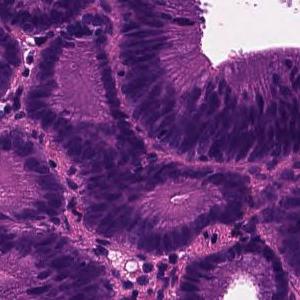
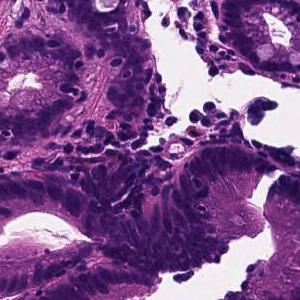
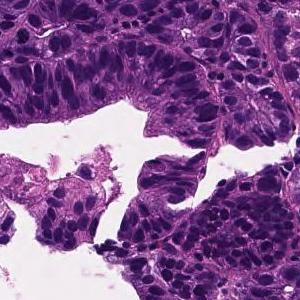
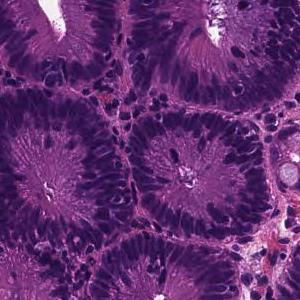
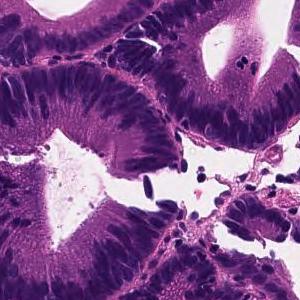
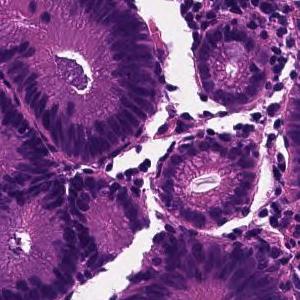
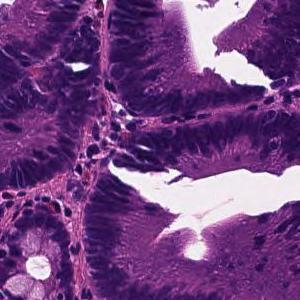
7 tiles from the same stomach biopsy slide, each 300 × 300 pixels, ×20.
Pathology report for the slide these tiles were cut from. The report and the diagnosis cover the entire slide, so not every feature they name need be visible here, and some tissue shown may not be tumor.
Tumor tissue in which medium to small irregular ducts infiltrate and proliferate in the submucosa can be seen in the epithelium. Well differentiated tubular adenocarcinoma
